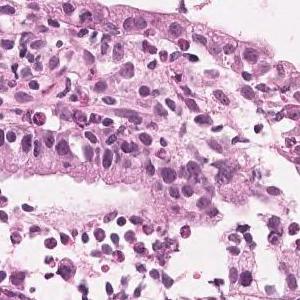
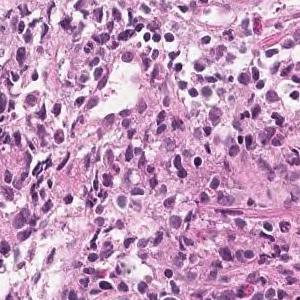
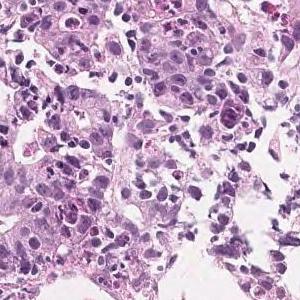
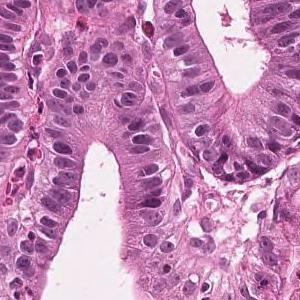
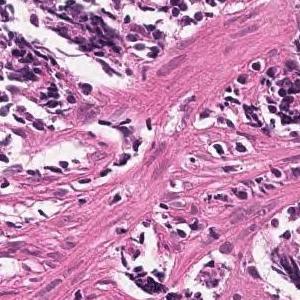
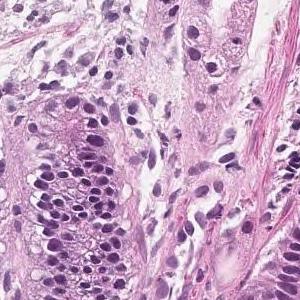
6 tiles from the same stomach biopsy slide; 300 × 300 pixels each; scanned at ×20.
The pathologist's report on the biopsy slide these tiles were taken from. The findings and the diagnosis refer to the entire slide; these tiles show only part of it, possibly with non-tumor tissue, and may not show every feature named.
On the superficial epithelium, tumor tissue consisting of large, irregular glandular ducts partially fused and infiltrated is observed. Well to moderately differentiated tubular adenocarcinoma (well differentiated tubular adenocarcinoma, moderately differentiated tubular adenocarcinoma)
Histologic type: Well to moderately differentiated tubular adenocarcinoma.
